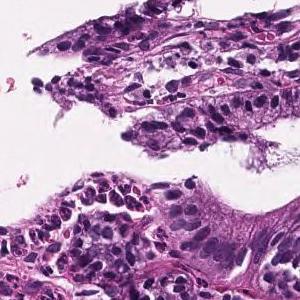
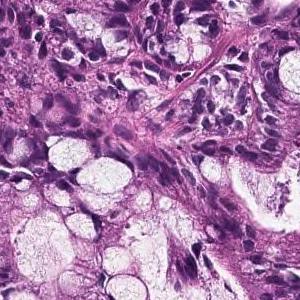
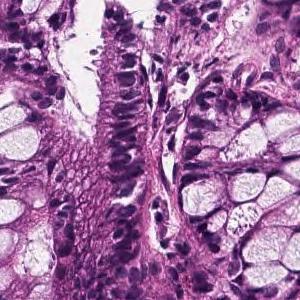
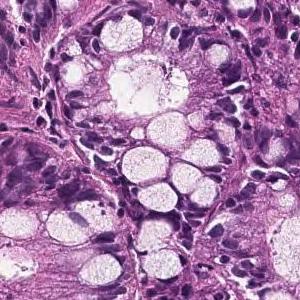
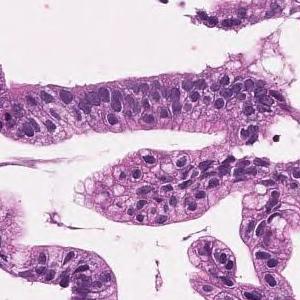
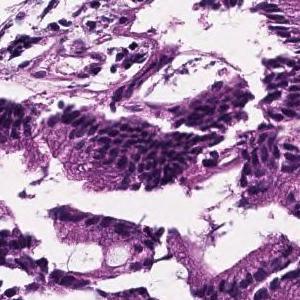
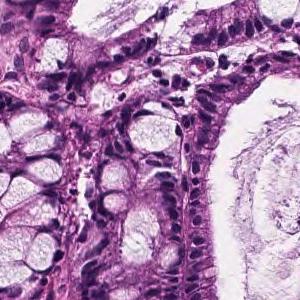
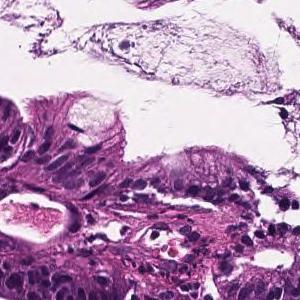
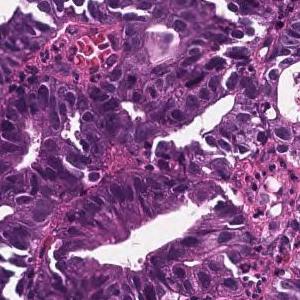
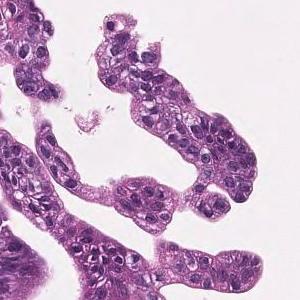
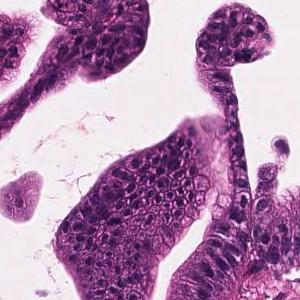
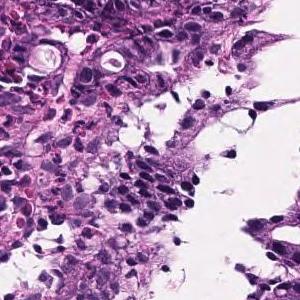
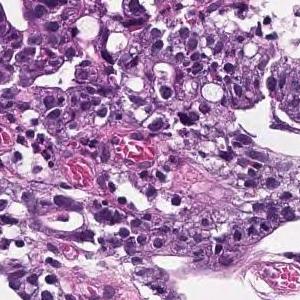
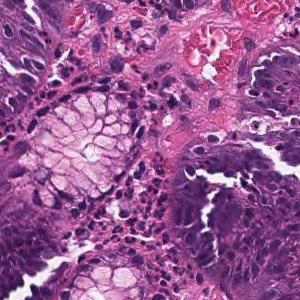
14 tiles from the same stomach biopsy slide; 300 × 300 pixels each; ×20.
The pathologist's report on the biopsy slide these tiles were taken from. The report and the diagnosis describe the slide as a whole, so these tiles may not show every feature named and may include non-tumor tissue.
In the superficial epithelium, tumor tissue that invades by forming medium-sized to small, irregular ducts is observed. Well differentiated tubular adenocarcinoma.
